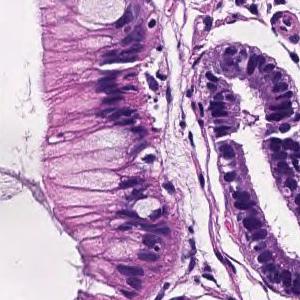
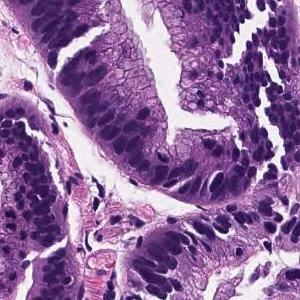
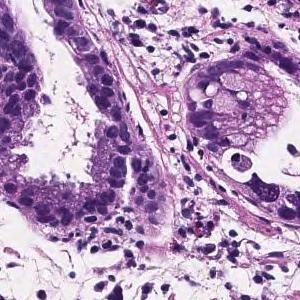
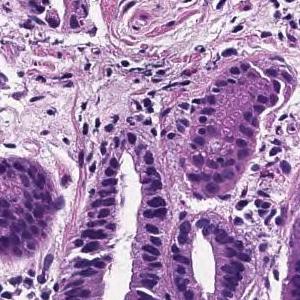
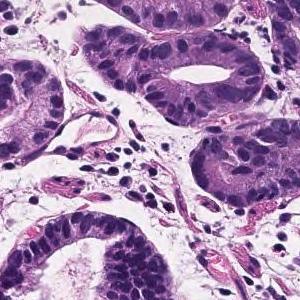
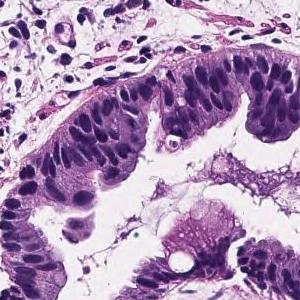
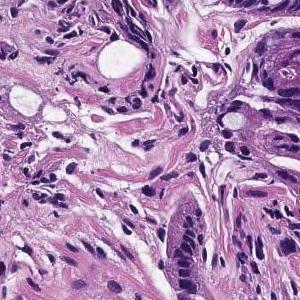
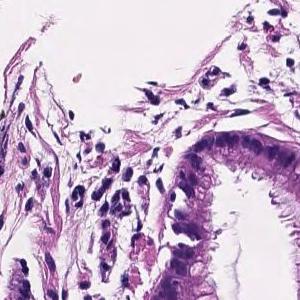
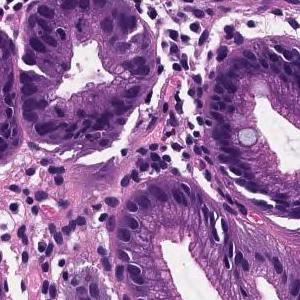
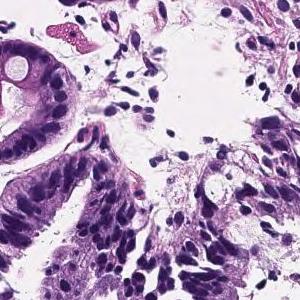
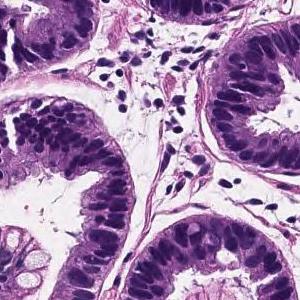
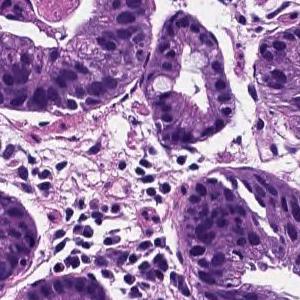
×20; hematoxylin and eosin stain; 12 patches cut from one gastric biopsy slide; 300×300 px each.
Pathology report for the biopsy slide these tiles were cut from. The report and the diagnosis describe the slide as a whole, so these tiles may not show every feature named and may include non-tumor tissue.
Tumor cells are large, highly columnar, large club-shaped nuclei, and are associated with chromatin aggregation. Papillary adenocarcinoma.
